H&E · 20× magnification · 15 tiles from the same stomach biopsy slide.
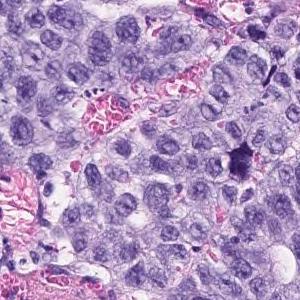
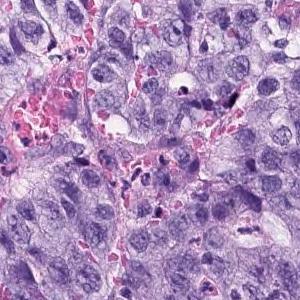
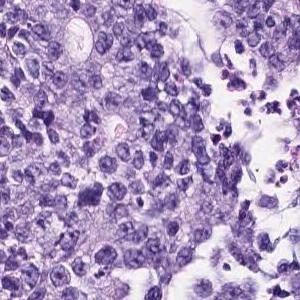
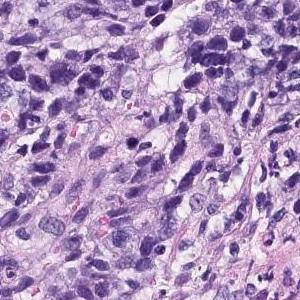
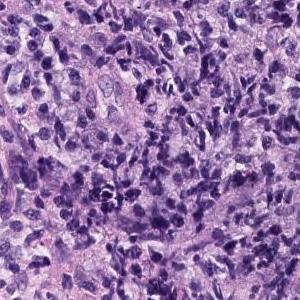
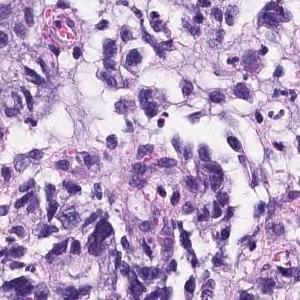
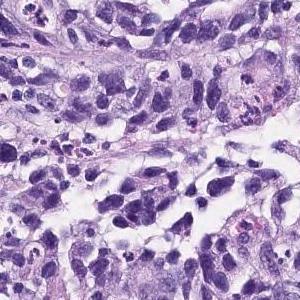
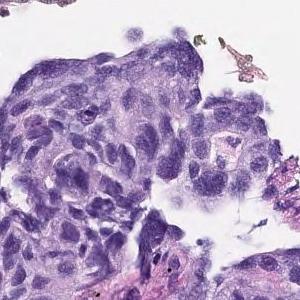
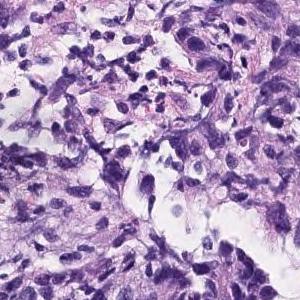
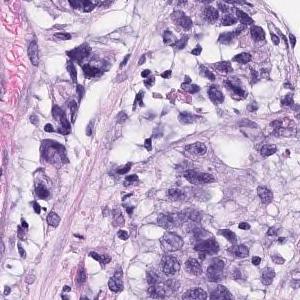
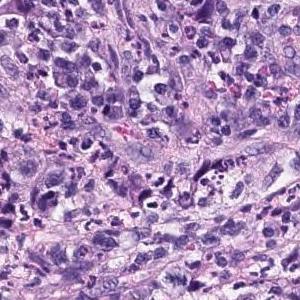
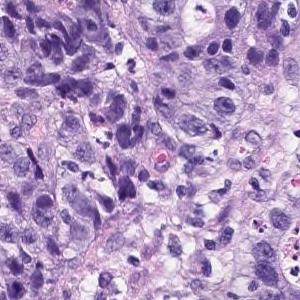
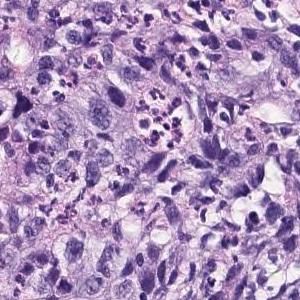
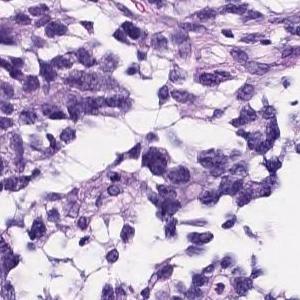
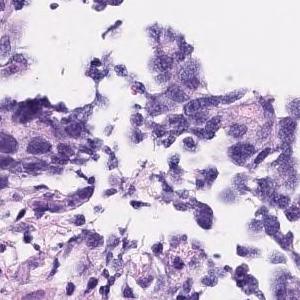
The pathologist's report on the biopsy slide these tiles were taken from. What the report and the diagnosis say applies to the whole slide; these tiles may miss some of the features named and may include tissue that is not tumor.
The superficial epithelium shows a large sheet-like shape, and some tumor tissue infiltrates with small irregular ducts. Poorly differentiated adenocarcinoma, solid-type
Histological subtype: Poorly differentiated adenocarcinoma, solid type (Japanese Classification of Gastric Carcinoma). The WHO 2019 equivalent is tubular adenocarcinoma, poorly differentiated.
